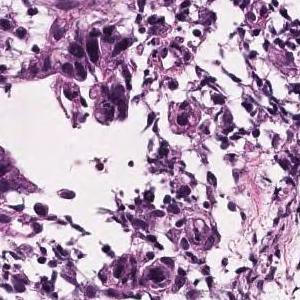
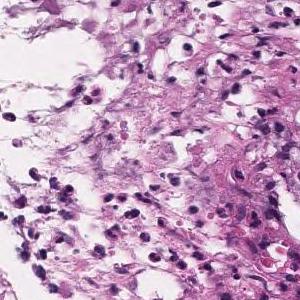
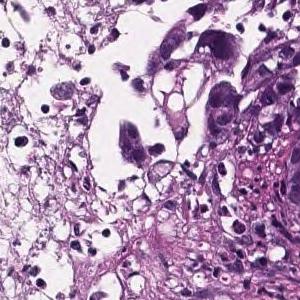
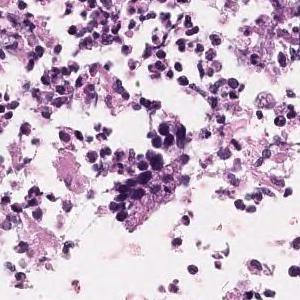
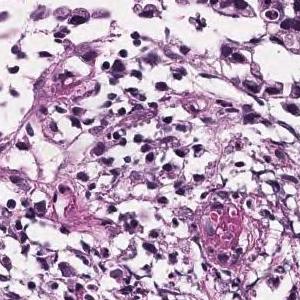
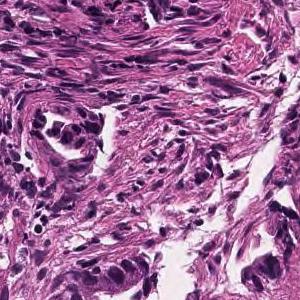
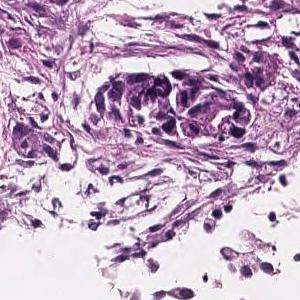
7 patches cut from one gastric biopsy slide; 20× magnification; H&E stain.
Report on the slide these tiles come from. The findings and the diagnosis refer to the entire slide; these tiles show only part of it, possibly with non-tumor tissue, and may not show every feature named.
In the superficial epithelium, tumor tissue that invades by forming medium-sized to small, irregular ducts is observed. moderately differentiated tubular adenocarcinoma.
